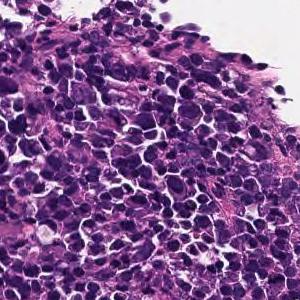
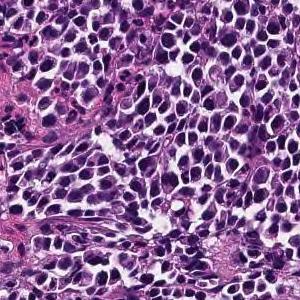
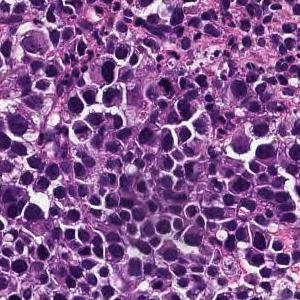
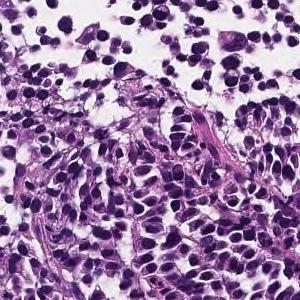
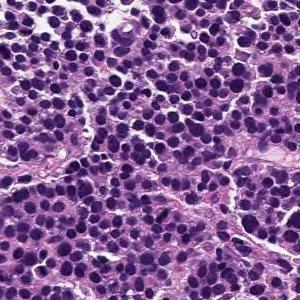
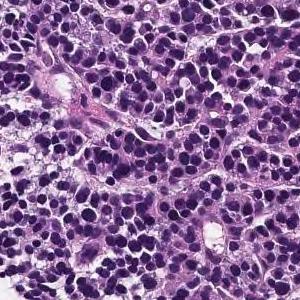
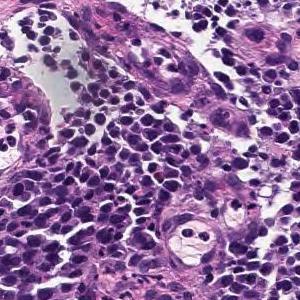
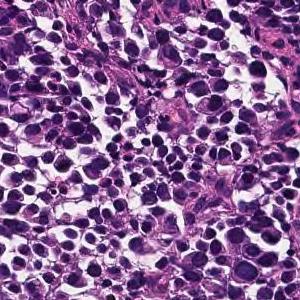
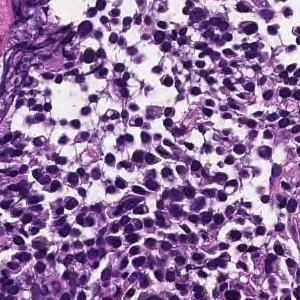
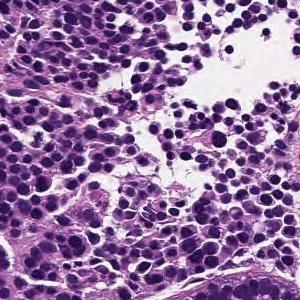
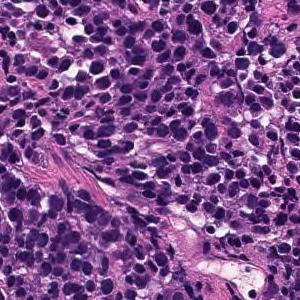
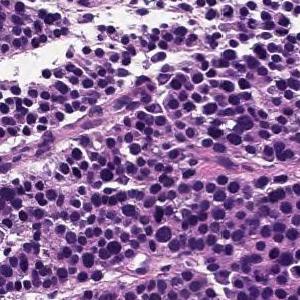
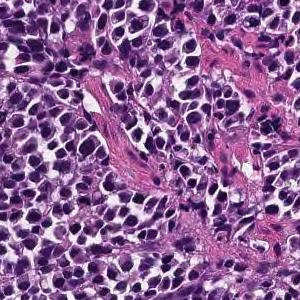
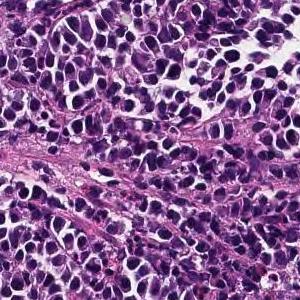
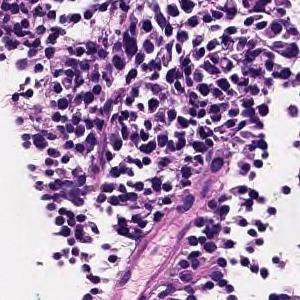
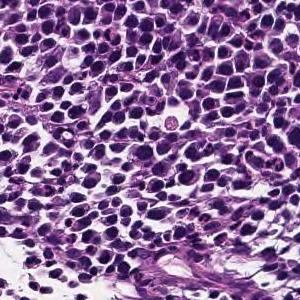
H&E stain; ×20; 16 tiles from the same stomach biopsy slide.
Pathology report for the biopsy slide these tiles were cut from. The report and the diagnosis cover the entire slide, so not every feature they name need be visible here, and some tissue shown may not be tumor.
Large sheet-like or diffusely infiltrating tumor tissue is found in the superficial epithelium. Poorly differentiated adenocarcinoma, solid-type
Subtype: Poorly differentiated adenocarcinoma, solid type (Japanese Classification of Gastric Carcinoma). The WHO 2019 equivalent is tubular adenocarcinoma, poorly differentiated.
